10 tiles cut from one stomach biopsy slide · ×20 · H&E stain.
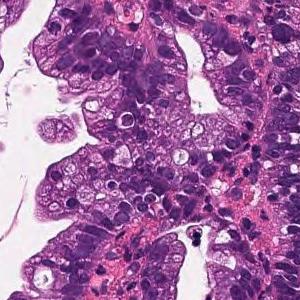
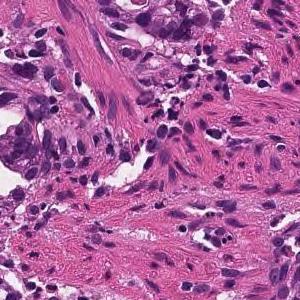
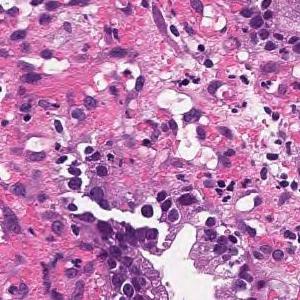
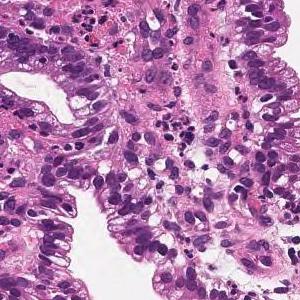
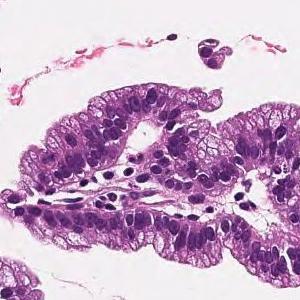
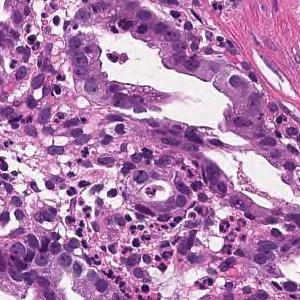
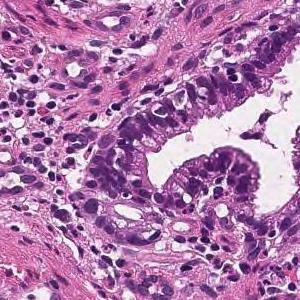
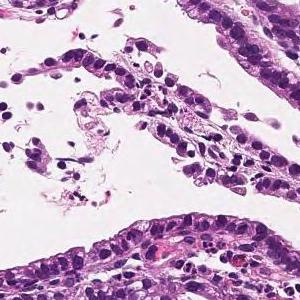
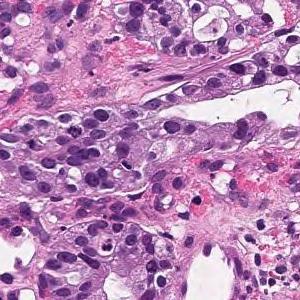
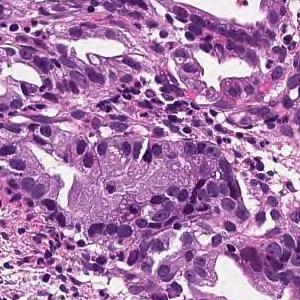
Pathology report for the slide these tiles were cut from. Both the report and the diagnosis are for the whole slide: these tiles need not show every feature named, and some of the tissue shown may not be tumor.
On the superficial epithelium, tumor tissue that infiltrates by forming medium-sized papillary or small irregular ducts is observed. Papillary adenocarcinoma
